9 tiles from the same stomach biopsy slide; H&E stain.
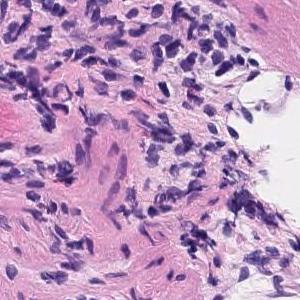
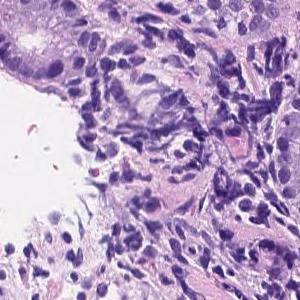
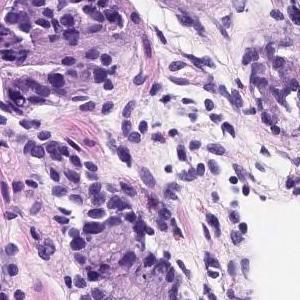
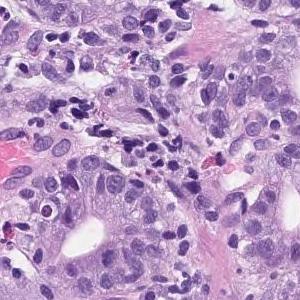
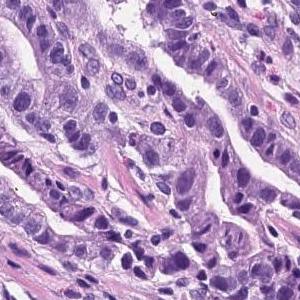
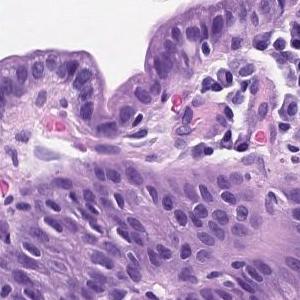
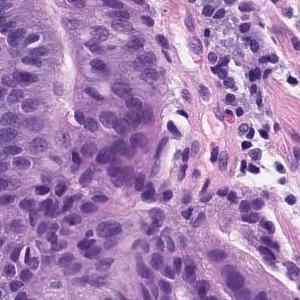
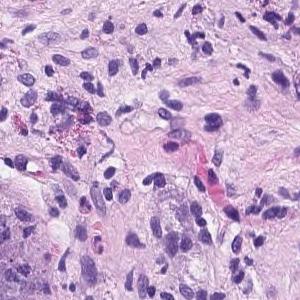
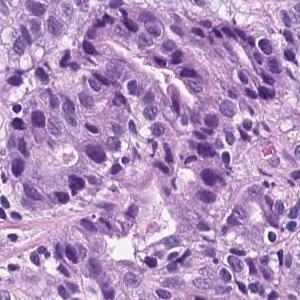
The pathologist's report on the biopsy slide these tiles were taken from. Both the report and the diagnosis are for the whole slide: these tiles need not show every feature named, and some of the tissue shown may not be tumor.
Tumor tissue consisting of medium-sized and irregular ducts is observed infiltrating in the superficial epithelium. Tumor cells are highly columnar, with nuclei aligned basolaterally and polarized. Well differentiated tubular adenocarcinoma.
